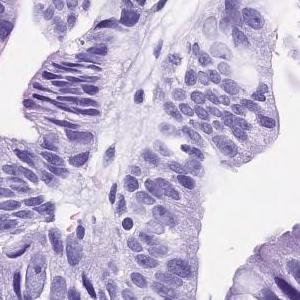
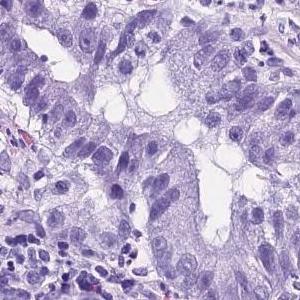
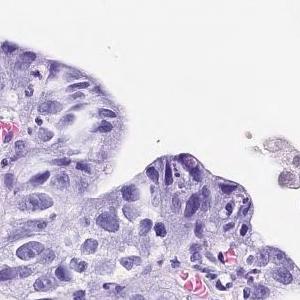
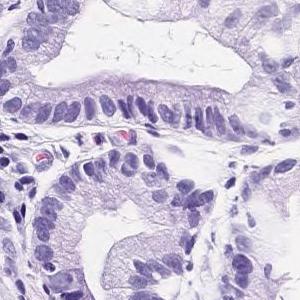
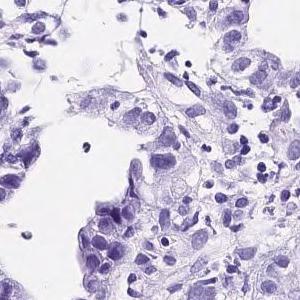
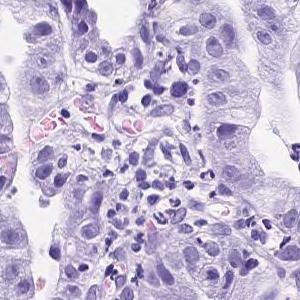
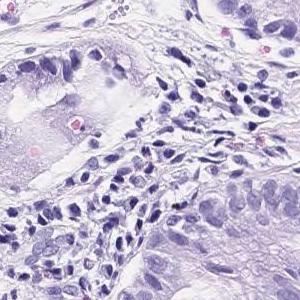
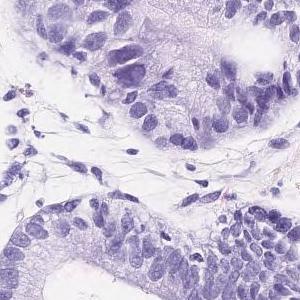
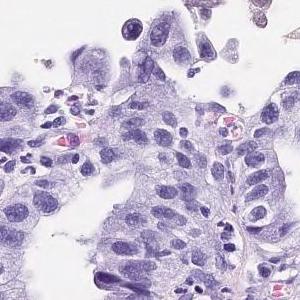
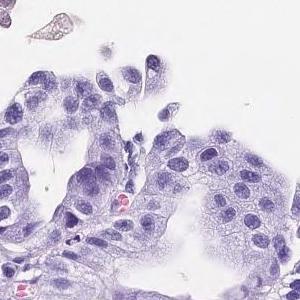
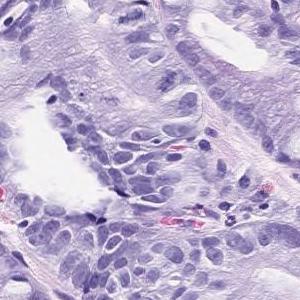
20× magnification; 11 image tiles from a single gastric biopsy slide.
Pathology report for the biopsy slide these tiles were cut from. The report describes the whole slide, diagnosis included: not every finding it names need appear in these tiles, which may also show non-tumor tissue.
Tumor tissue consisting of medium-sized and irregular ducts is observed infiltrating in the superficial epithelium. Tumor cells are highly columnar, with nuclei aligned basolaterally and polarized. Well differentiated tubular adenocarcinoma.
